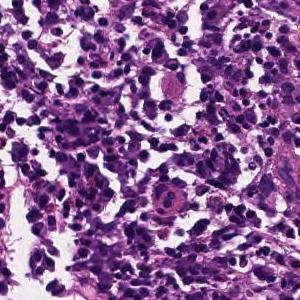
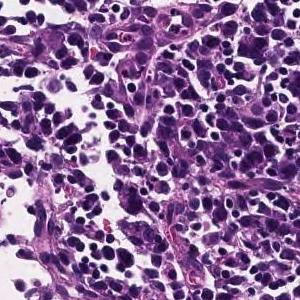
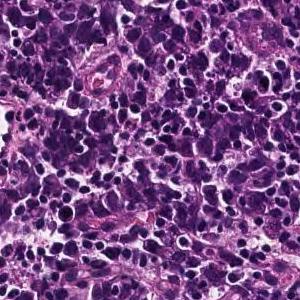
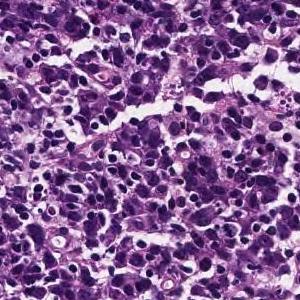
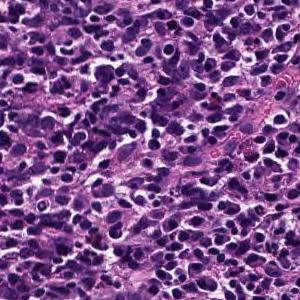
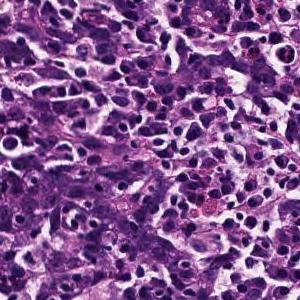
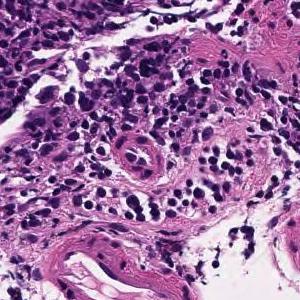
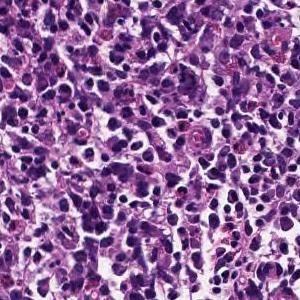
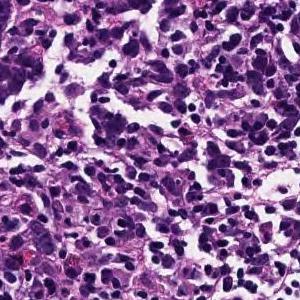
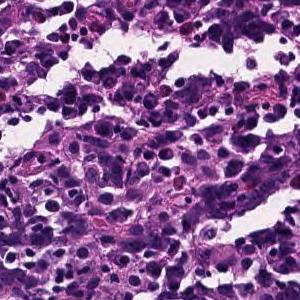
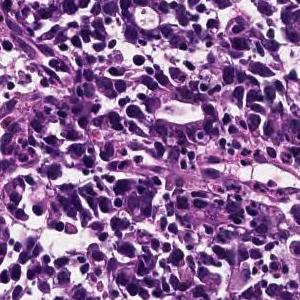
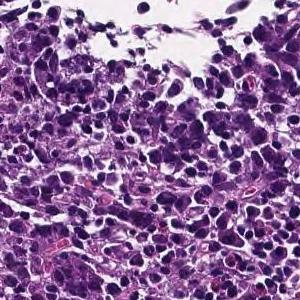
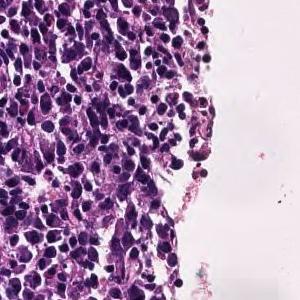
13 patches cut from one gastric biopsy slide; 300×300 px each; hematoxylin and eosin stain; ×20.
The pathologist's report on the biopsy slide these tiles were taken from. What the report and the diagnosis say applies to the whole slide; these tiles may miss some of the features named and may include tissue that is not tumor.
Tumor tissue consisting of cord-like or small, irregular glandular ducts fused and infiltrated is observed in the superficial epithelium. Poorly differentiated adenocarcinoma, non-solid type
The non-solid type named here is a Japanese Classification of Gastric Carcinoma category.
